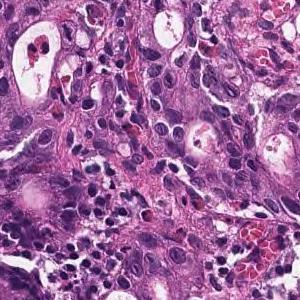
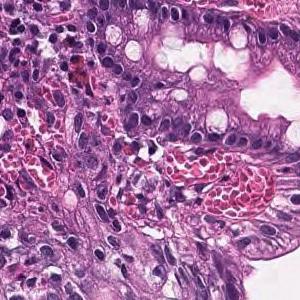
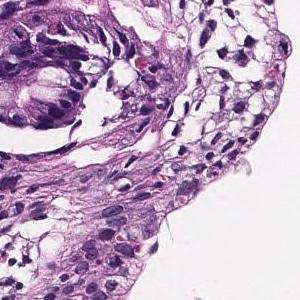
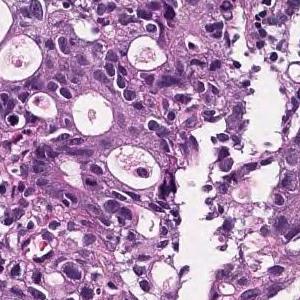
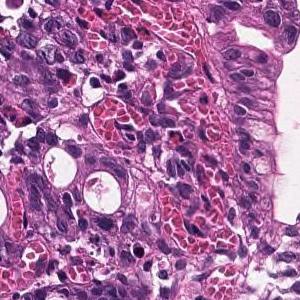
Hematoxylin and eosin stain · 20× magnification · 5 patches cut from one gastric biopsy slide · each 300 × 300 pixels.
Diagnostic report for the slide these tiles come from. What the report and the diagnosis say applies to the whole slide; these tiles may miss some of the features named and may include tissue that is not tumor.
In the superficial epithelium, tumor tissue that invades by forming medium-sized to small, irregular ducts is observed. Moderately differentiated adenocarcinoma.
Histologic type: Moderately differentiated tubular adenocarcinoma.
